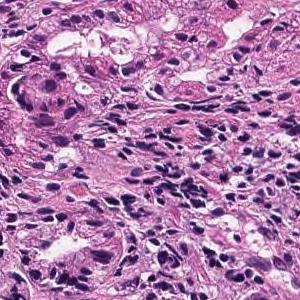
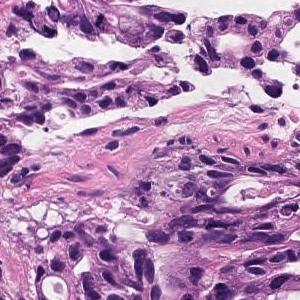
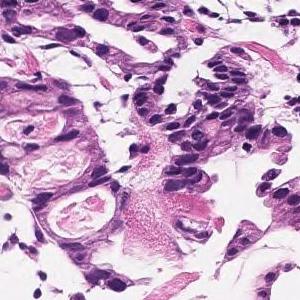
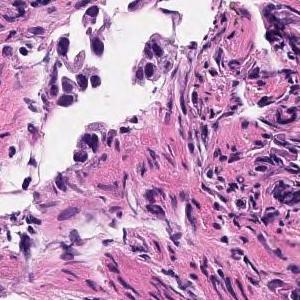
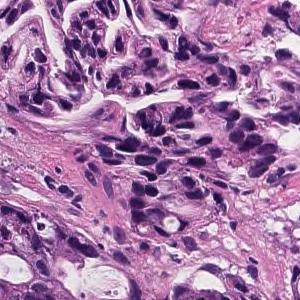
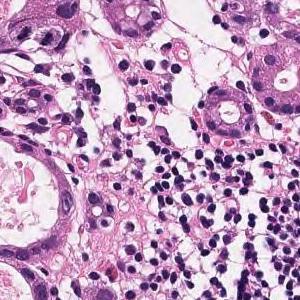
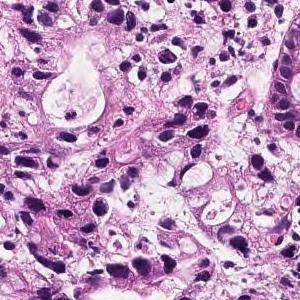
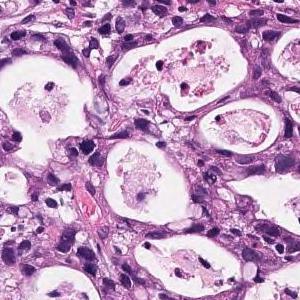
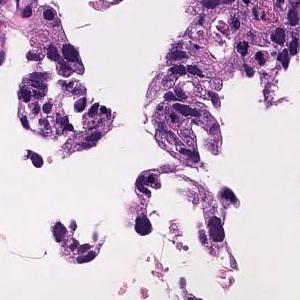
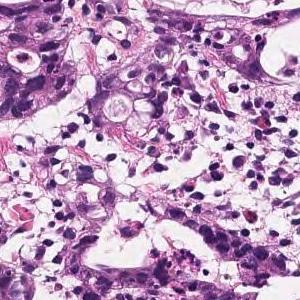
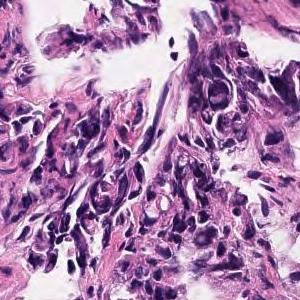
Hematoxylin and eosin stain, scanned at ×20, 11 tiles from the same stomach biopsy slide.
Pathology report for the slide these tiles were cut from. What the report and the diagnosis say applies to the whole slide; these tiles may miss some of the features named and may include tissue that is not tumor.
In the superficial epithelium, tumor tissue that invades by forming medium-sized to small, irregular ducts is observed. Moderately differentiated adenocarcinoma.
Subtype: Moderately differentiated tubular adenocarcinoma.
